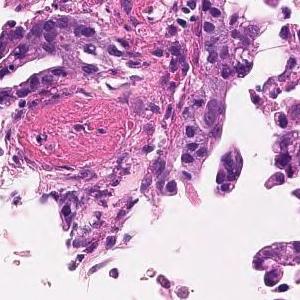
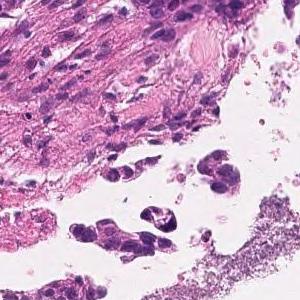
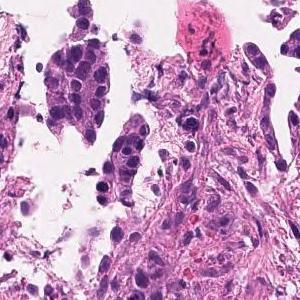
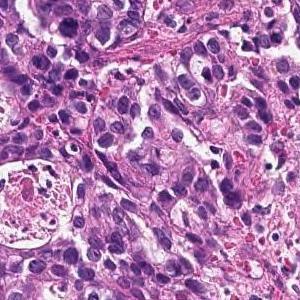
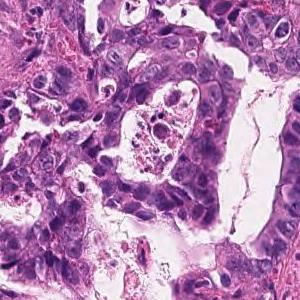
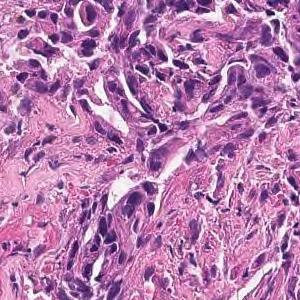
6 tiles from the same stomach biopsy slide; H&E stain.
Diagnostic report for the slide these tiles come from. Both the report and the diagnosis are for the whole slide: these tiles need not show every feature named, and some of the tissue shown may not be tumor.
On the superficial epithelium, tumor tissue consisting of images of small to medium-sized and irregular tubules infiltrating with irregular fusion is observed. moderately differentiated tubular adenocarcinoma
